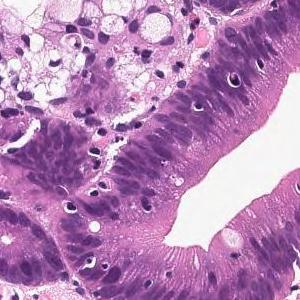
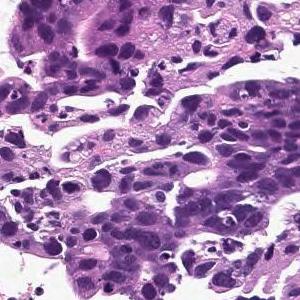
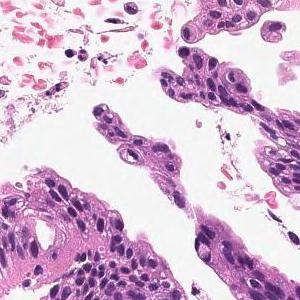
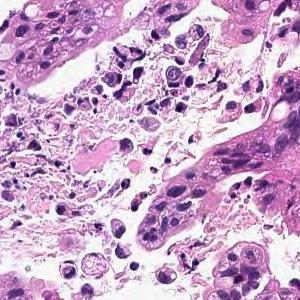
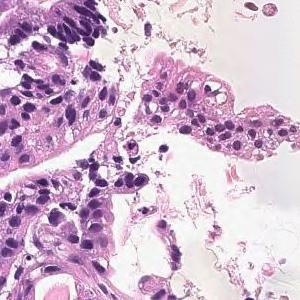
Hematoxylin and eosin stain · ×20 · 5 tiles cut from one stomach biopsy slide · 300 × 300 pixels each.
Pathology report for the biopsy slide these tiles were cut from. The report and the diagnosis cover the entire slide, so not every feature they name need be visible here, and some tissue shown may not be tumor.
In the superficial epithelium, tumor tissue that invades by forming medium-sized to small, irregular ducts is observed. moderately differentiated tubular adenocarcinoma.
